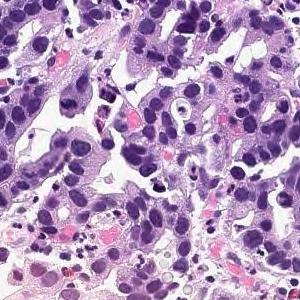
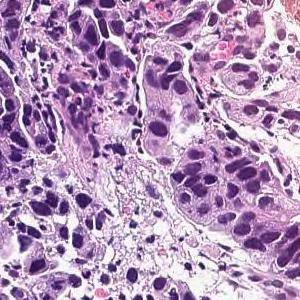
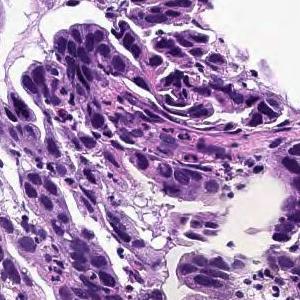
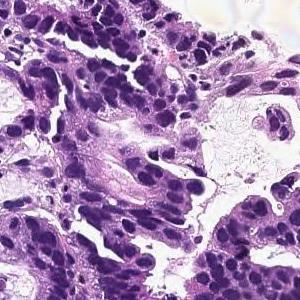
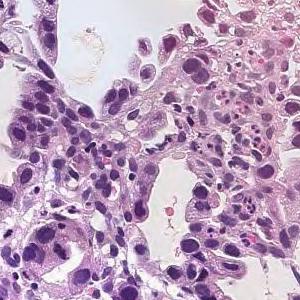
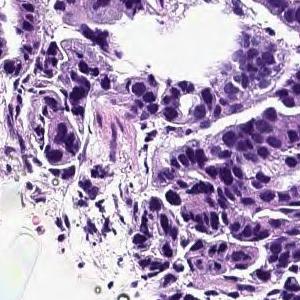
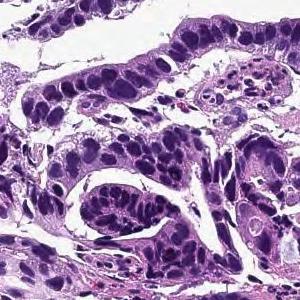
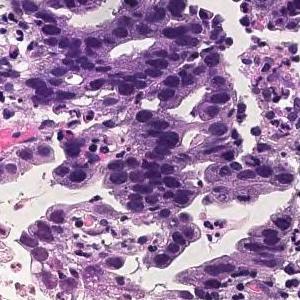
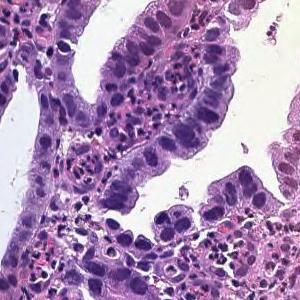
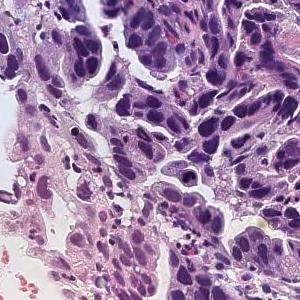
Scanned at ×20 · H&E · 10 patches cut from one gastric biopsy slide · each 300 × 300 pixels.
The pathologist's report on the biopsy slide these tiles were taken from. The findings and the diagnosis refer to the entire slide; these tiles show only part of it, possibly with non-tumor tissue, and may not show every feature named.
On the superficial epithelium, tumor tissue consisting of large irregular glandular ducts partially fused and infiltrated is observed. Well to moderately differentiated tubular adenocarcinoma (well differentiated tubular adenocarcinoma, moderately differentiated tubular adenocarcinoma)
Tumor subtype: well to moderately differentiated tubular adenocarcinoma.
